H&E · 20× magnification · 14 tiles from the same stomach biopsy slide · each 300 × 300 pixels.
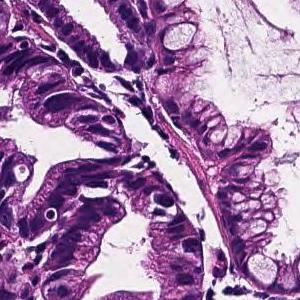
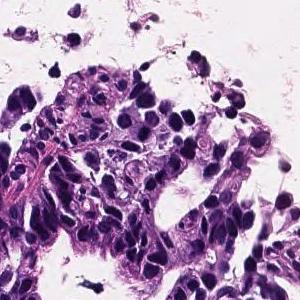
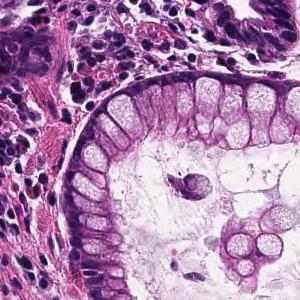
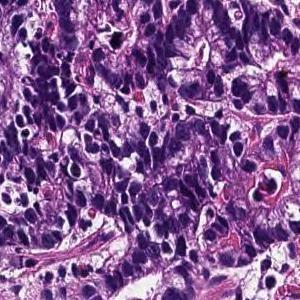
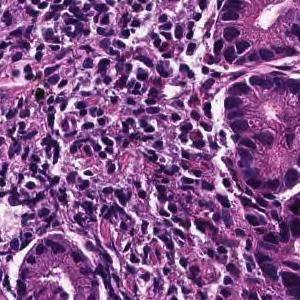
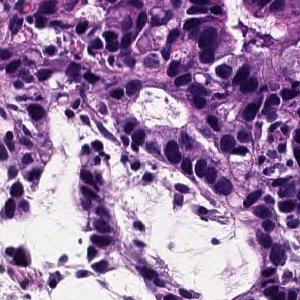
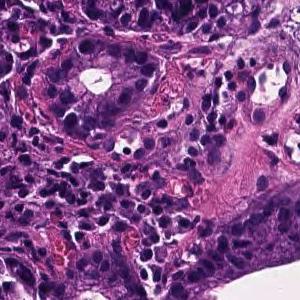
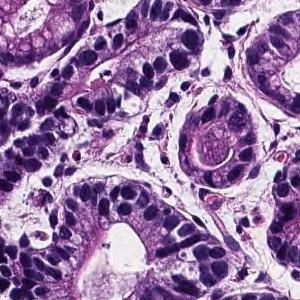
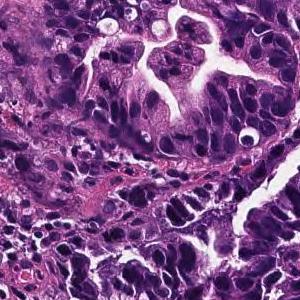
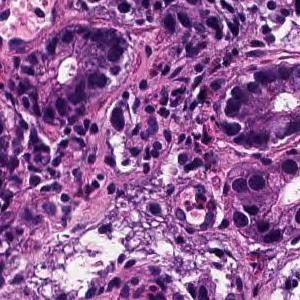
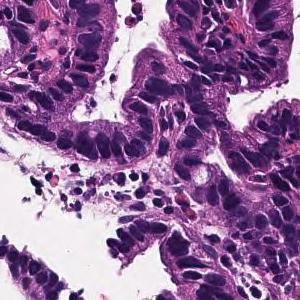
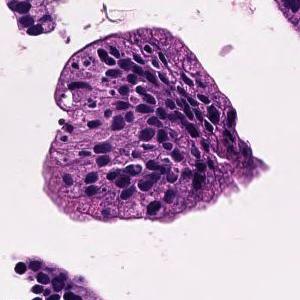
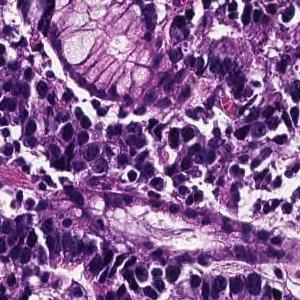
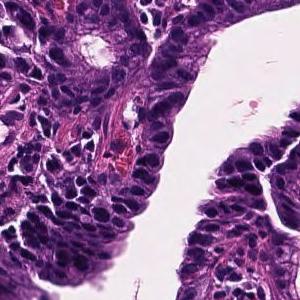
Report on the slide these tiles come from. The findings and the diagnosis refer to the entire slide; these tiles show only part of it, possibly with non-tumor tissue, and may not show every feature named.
Tumor cells are large, highly columnar, large club-shaped nuclei, and are associated with chromatin aggregation. Papillary adenocarcinoma.
